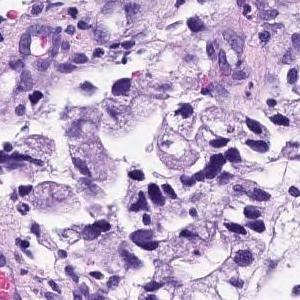
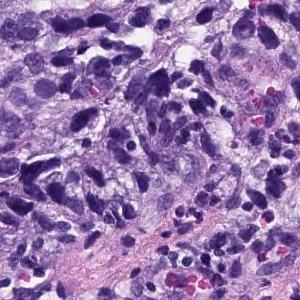
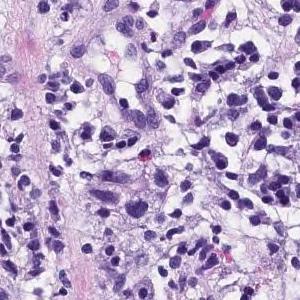
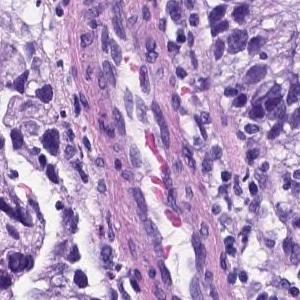
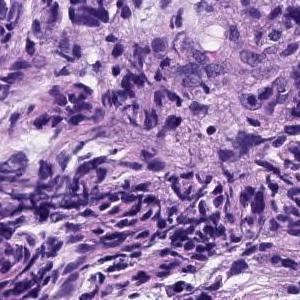
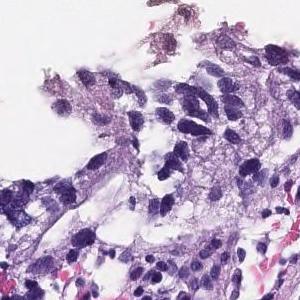
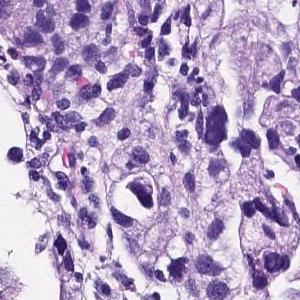
H&E stain · 20× magnification · 7 tiles from the same stomach biopsy slide.
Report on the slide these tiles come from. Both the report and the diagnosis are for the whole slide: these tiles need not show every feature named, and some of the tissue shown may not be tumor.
Medium to small, irregular glandular ducts are formed in the superficial epithelium, and in some cases, the glandular ducts are fused to show solid alveolar lesions and infiltrating tumor tissue is observed. Poorly differentiated adenocarcinoma, Moderately differentiated adenocarcinoma.
Dataset label: moderately differentiated tubular adenocarcinoma.
